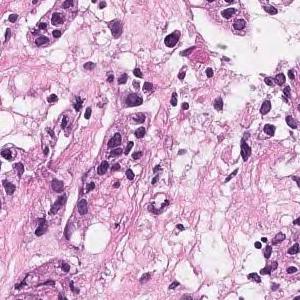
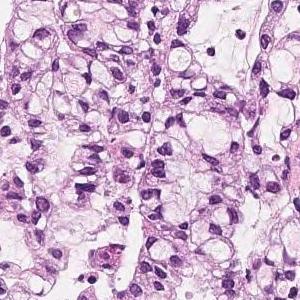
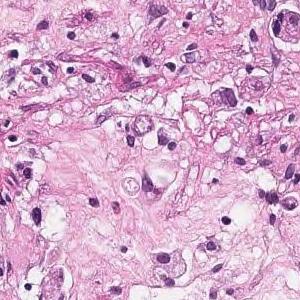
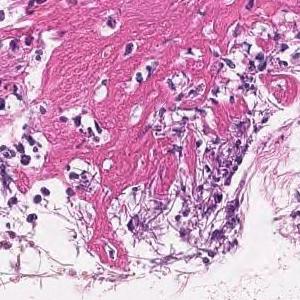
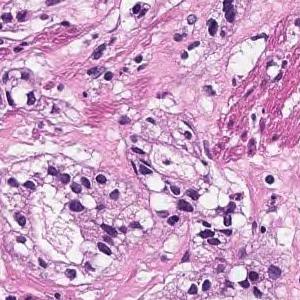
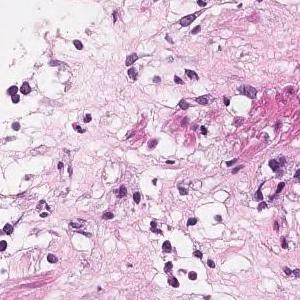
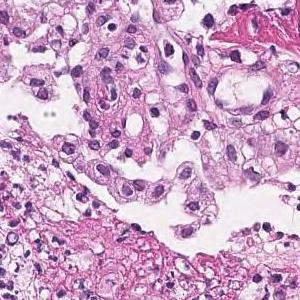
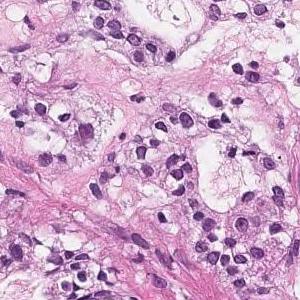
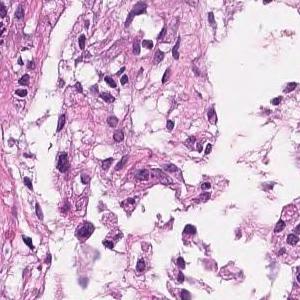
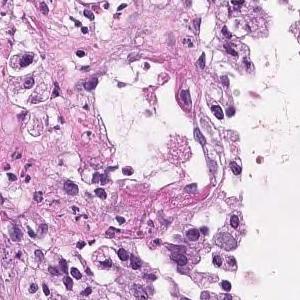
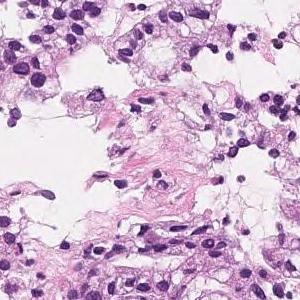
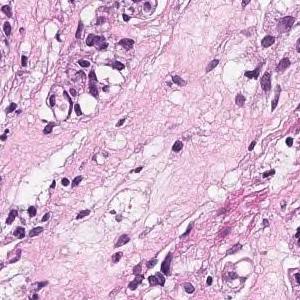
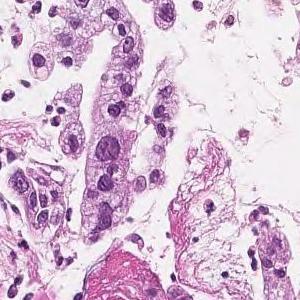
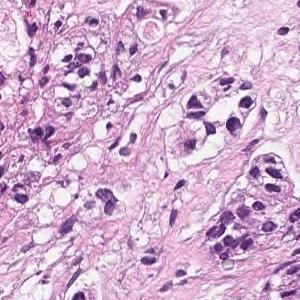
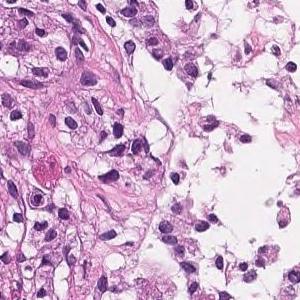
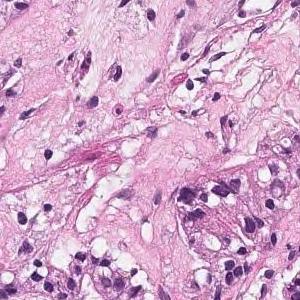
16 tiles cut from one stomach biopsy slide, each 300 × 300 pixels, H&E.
Pathology report for the slide these tiles were cut from. What the report and the diagnosis say applies to the whole slide; these tiles may miss some of the features named and may include tissue that is not tumor.
In the superficial epithelium, tumor tissue that invades by forming medium-sized to small, irregular ducts is observed. moderately differentiated tubular adenocarcinoma.
